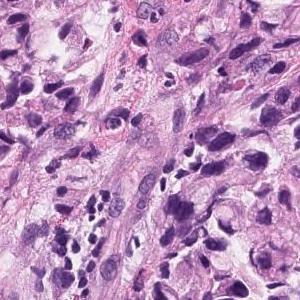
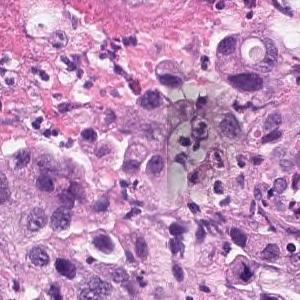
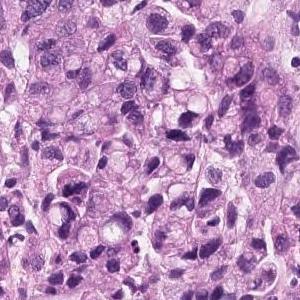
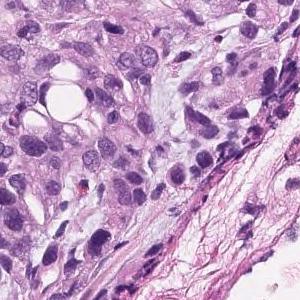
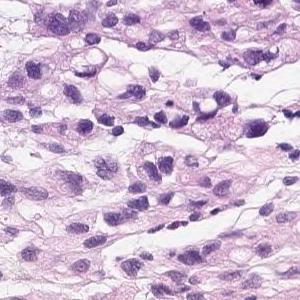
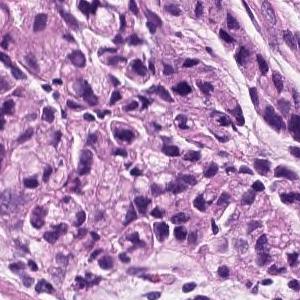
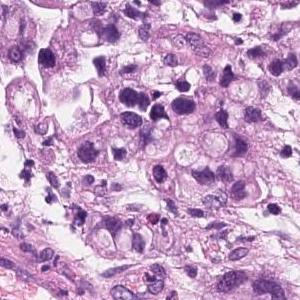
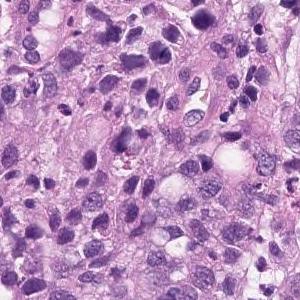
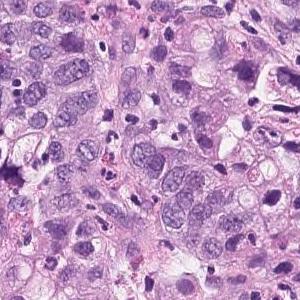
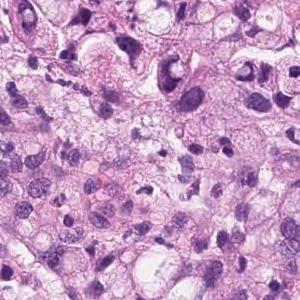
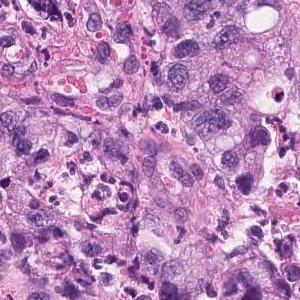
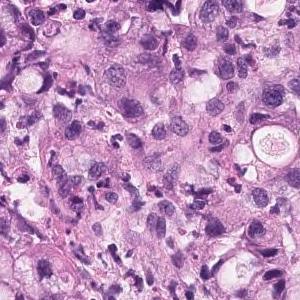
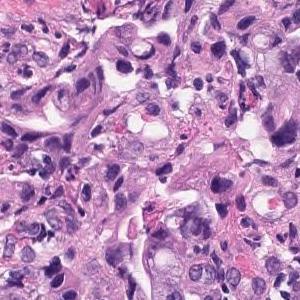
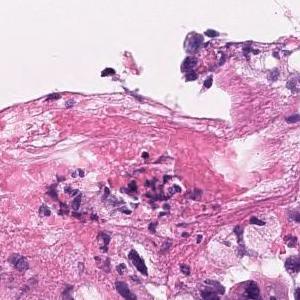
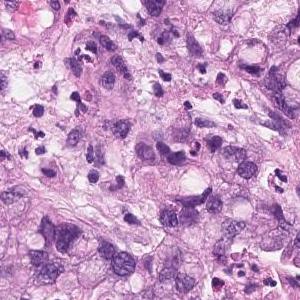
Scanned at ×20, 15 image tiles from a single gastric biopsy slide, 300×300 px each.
Report on the slide these tiles come from. What the report and the diagnosis say applies to the whole slide; these tiles may miss some of the features named and may include tissue that is not tumor.
Group 5, Adenocarcinoma. Poorly differentiated adenocarcinoma, non-solid type
The term "non-solid type" comes from the Japanese Classification of Gastric Carcinoma.
